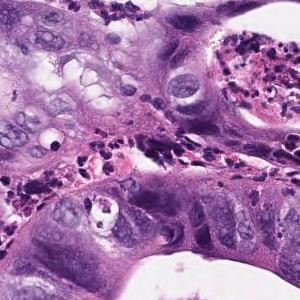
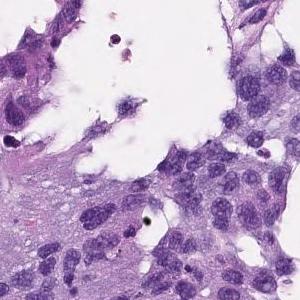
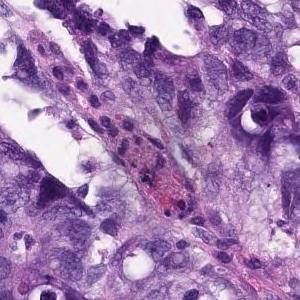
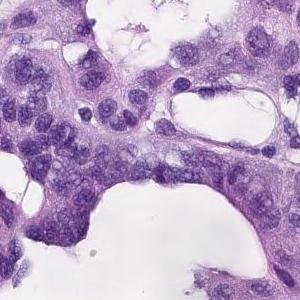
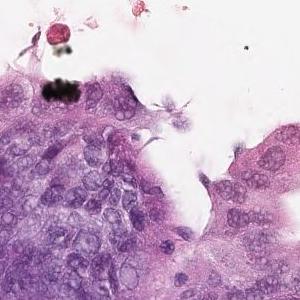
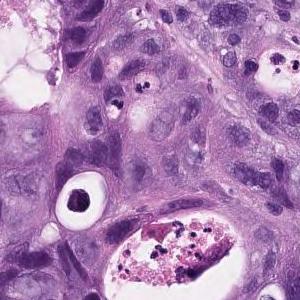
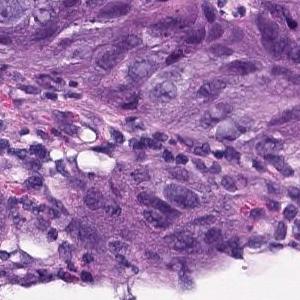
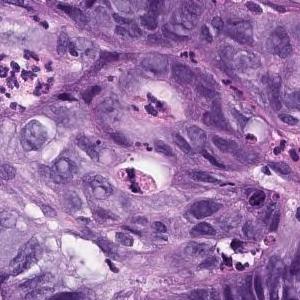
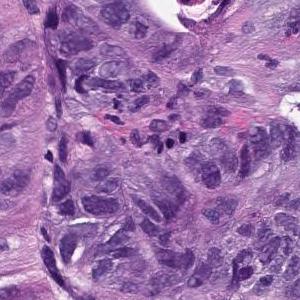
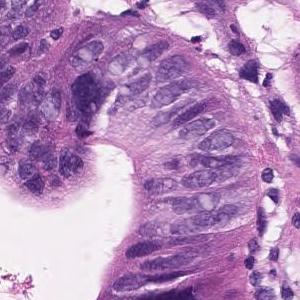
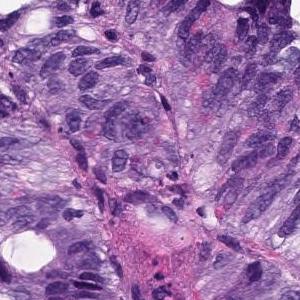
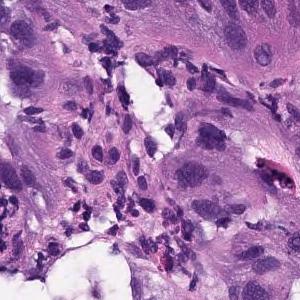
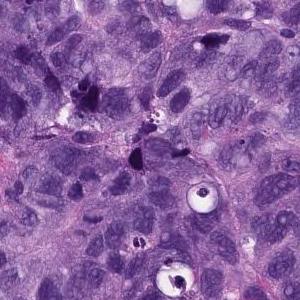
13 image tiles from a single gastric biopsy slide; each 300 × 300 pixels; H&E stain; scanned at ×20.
Pathology report for the slide these tiles were cut from. The report and the diagnosis cover the entire slide, so not every feature they name need be visible here, and some tissue shown may not be tumor.
In the superficial epithelium, tumor tissue that invades by forming medium-sized to small, irregular ducts is observed. Moderately differentiated adenocarcinoma.
Subtype: Moderately differentiated tubular adenocarcinoma.
